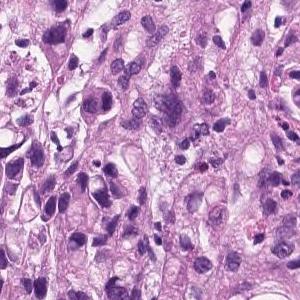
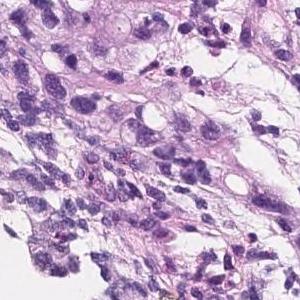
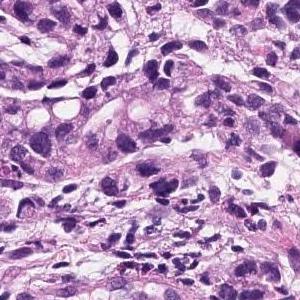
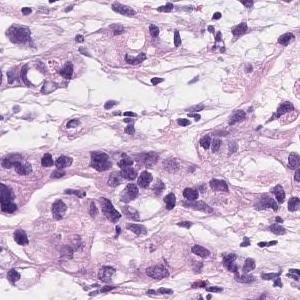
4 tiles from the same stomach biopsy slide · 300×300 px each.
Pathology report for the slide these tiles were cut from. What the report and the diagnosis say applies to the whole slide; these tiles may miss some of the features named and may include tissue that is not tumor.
Group 5, Adenocarcinoma. Poorly differentiated adenocarcinoma, non-solid type
The term "non-solid type" comes from the Japanese Classification of Gastric Carcinoma.
